5 tiles from the same stomach biopsy slide, H&E stain, 20× magnification.
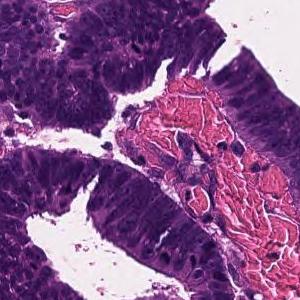
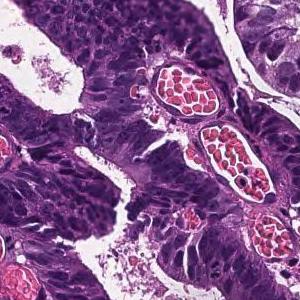
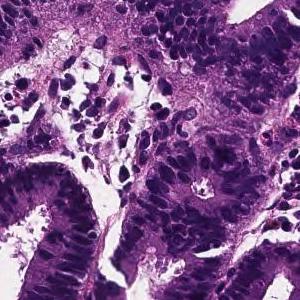
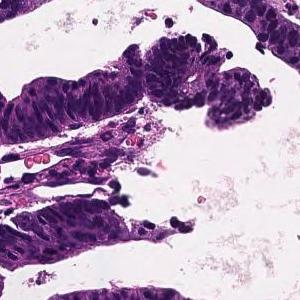
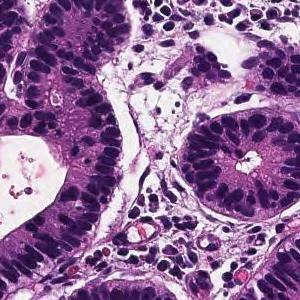
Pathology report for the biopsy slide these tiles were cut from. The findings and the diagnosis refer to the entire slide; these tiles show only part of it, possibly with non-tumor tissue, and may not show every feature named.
Tumor tissue consisting of large papillary structures is found in the superficial epithelium. Papillary adenocarcinoma.
